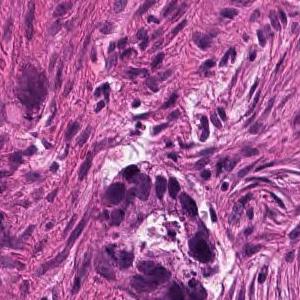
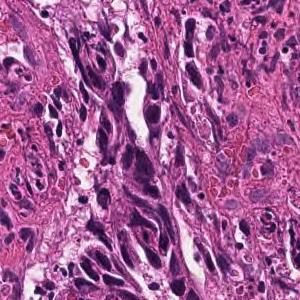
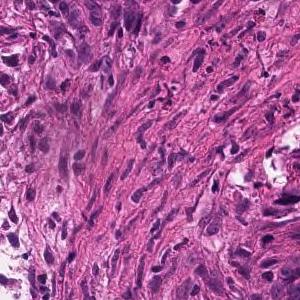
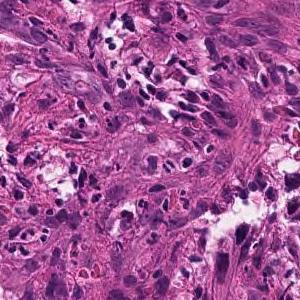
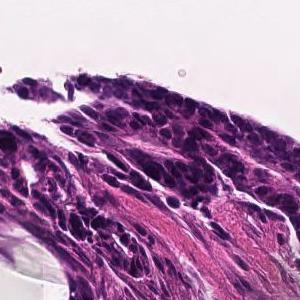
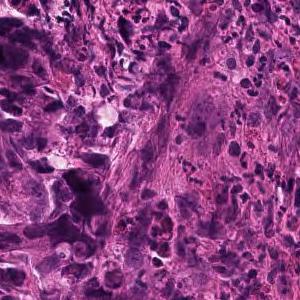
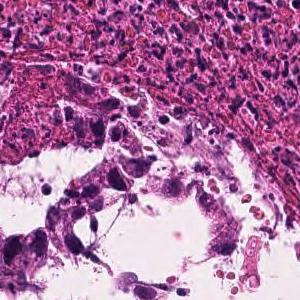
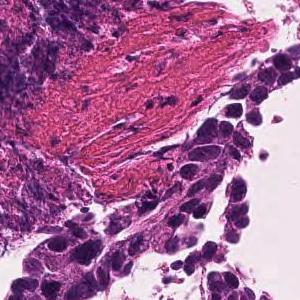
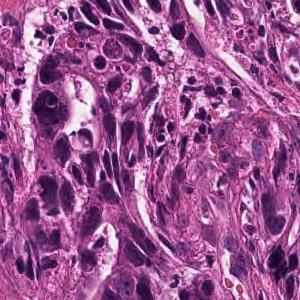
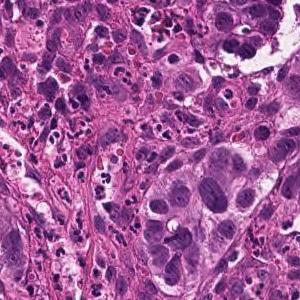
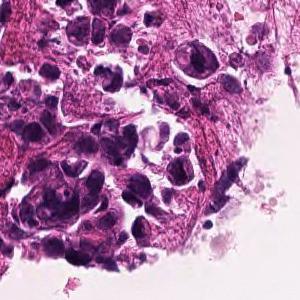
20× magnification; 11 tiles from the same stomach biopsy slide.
Report on the slide these tiles come from. The report and the diagnosis describe the slide as a whole, so these tiles may not show every feature named and may include non-tumor tissue.
In the superficial epithelium, tumor tissue that invades by forming medium-sized to small, irregular ducts is observed. moderately differentiated tubular adenocarcinoma.
